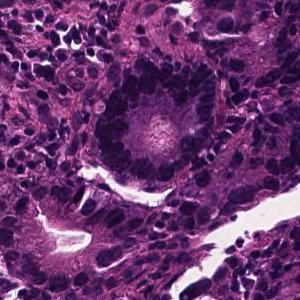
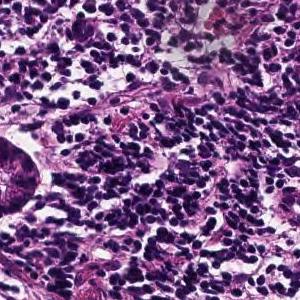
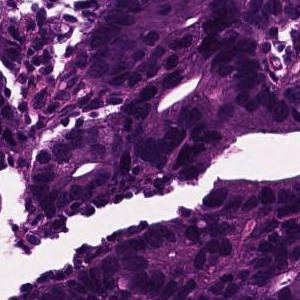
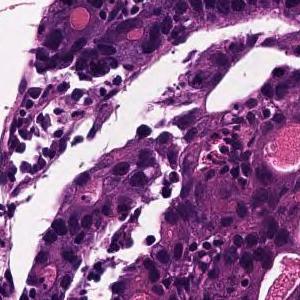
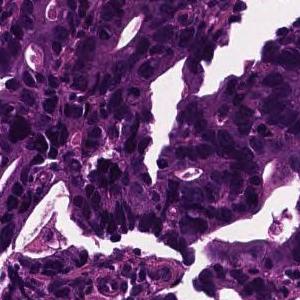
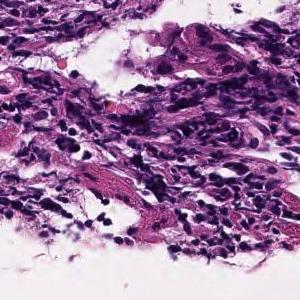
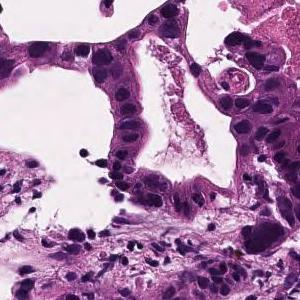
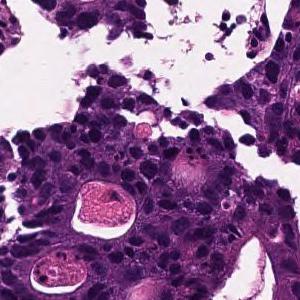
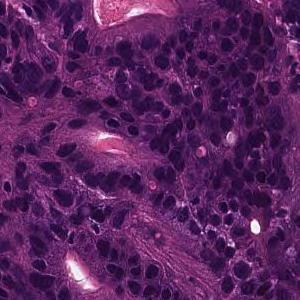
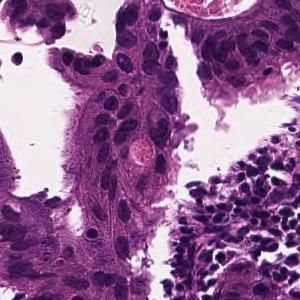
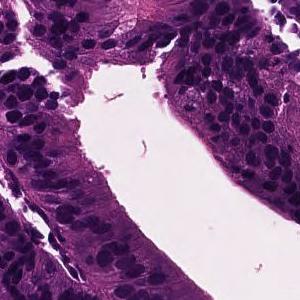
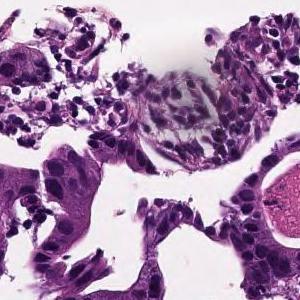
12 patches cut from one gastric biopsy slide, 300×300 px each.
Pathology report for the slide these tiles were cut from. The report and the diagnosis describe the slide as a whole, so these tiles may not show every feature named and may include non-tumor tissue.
In the superficial epithelium, tumor tissue that invades by forming medium-sized to small, irregular ducts is observed. moderately differentiated tubular adenocarcinoma.
